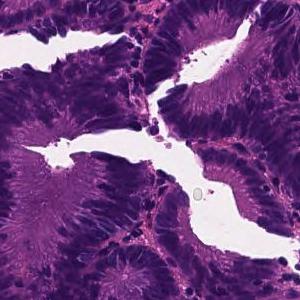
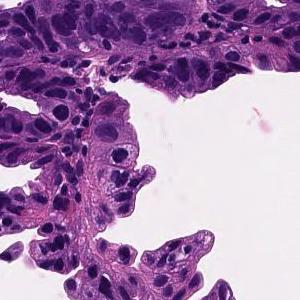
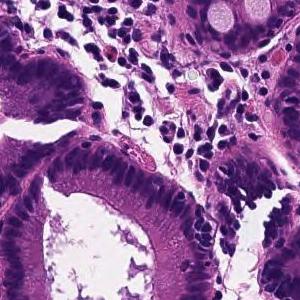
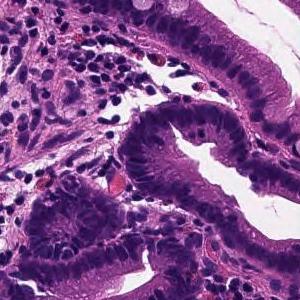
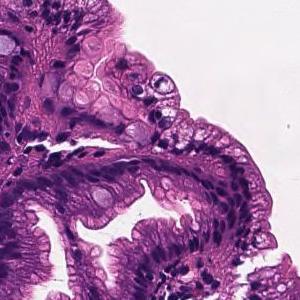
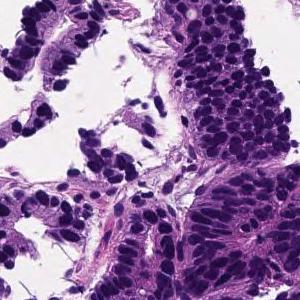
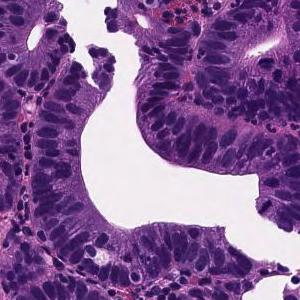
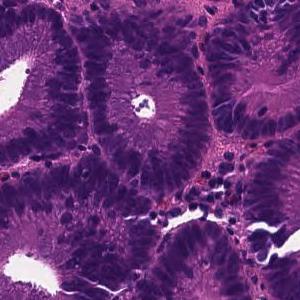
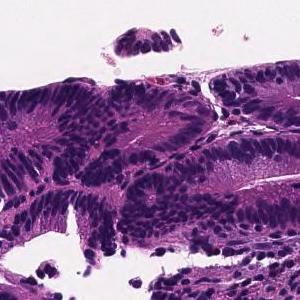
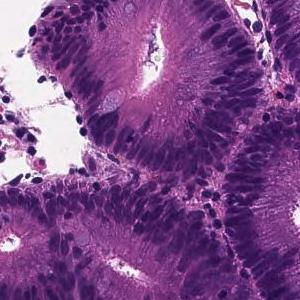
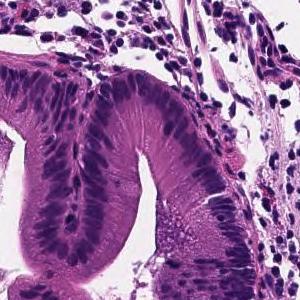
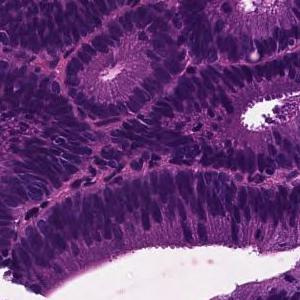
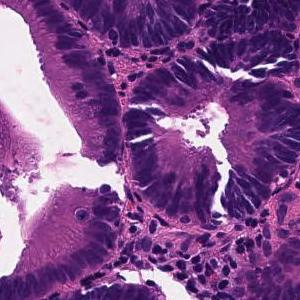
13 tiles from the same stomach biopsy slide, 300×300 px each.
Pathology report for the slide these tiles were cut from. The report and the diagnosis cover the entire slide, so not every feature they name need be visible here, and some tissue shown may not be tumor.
Tumor tissue in which medium to small irregular ducts infiltrate and proliferate in the submucosa can be seen in the epithelium. Well differentiated tubular adenocarcinoma
